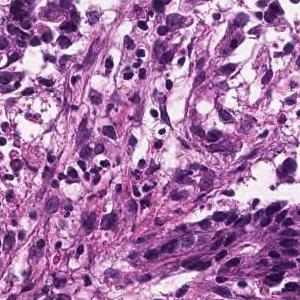
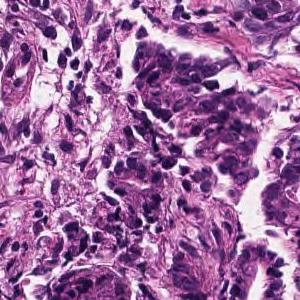
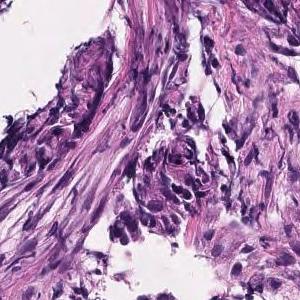
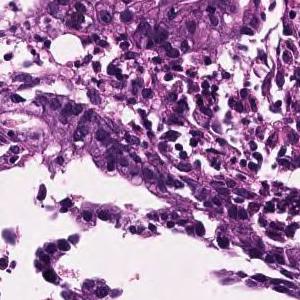
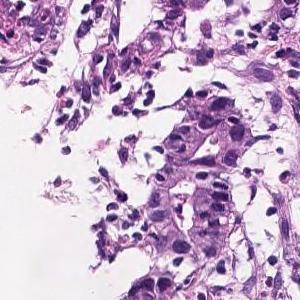
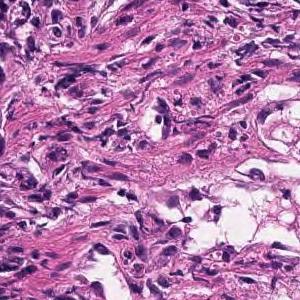
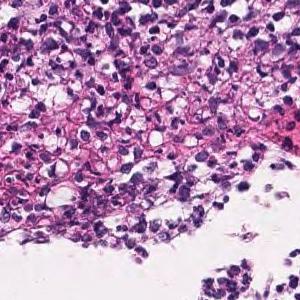
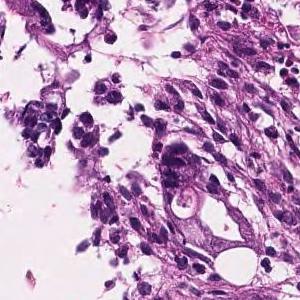
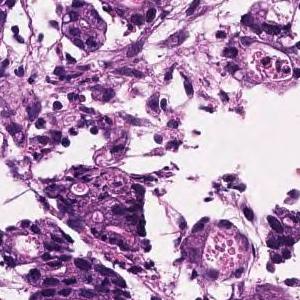
9 tiles cut from one stomach biopsy slide · H&E.
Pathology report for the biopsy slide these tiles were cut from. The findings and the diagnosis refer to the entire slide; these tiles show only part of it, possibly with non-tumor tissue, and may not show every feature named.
In the superficial epithelium, medium to small, irregular gland ducts are formed, and in some cases, the gland ducts are fused to show solid alveolar lesions and infiltrating tumor tissue is observed. Moderately to poorly differentiated adenocarcinoma.
